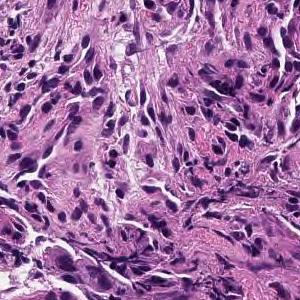
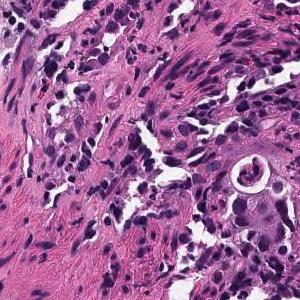
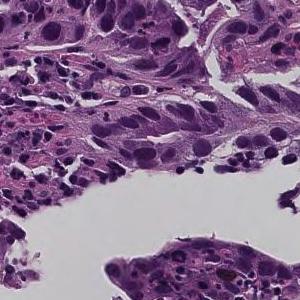
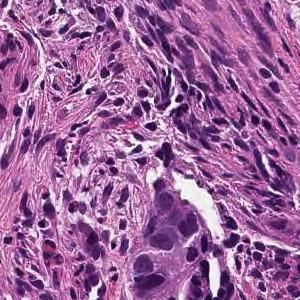
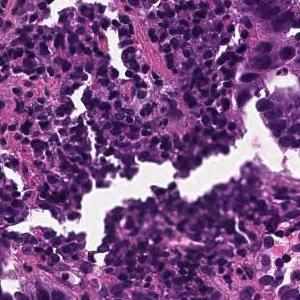
5 image tiles from a single gastric biopsy slide · each 300 × 300 pixels · scanned at ×20 · H&E stain.
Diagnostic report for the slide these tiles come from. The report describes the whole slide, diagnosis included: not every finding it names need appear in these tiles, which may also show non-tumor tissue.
On the superficial epithelium, tumor tissue consisting of large irregular glandular ducts partially fused and infiltrated is observed. Well to moderately differentiated tubular adenocarcinoma (well differentiated tubular adenocarcinoma, moderately differentiated tubular adenocarcinoma)
Tumor subtype: well to moderately differentiated tubular adenocarcinoma.
